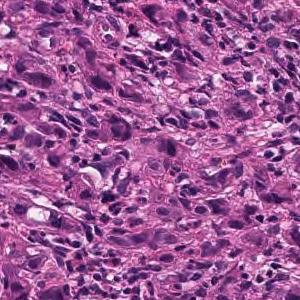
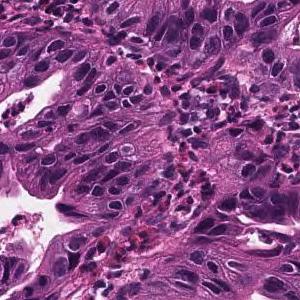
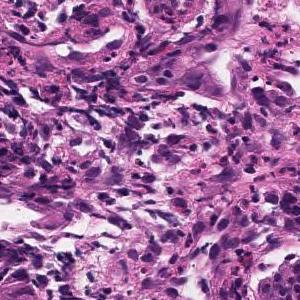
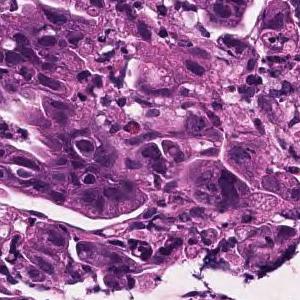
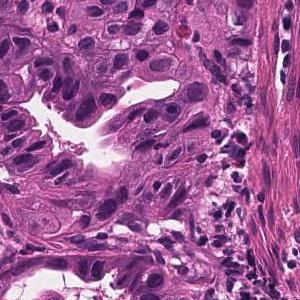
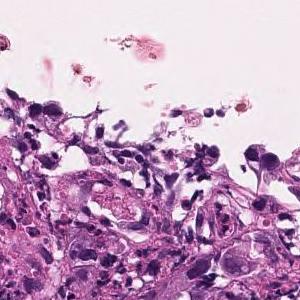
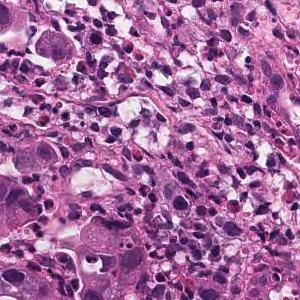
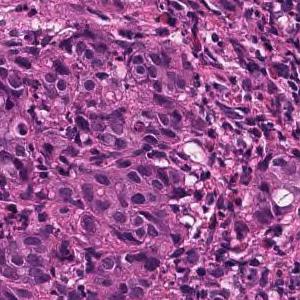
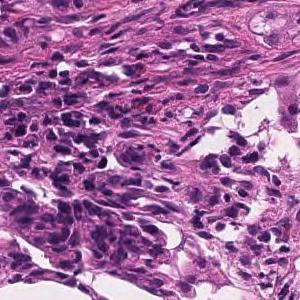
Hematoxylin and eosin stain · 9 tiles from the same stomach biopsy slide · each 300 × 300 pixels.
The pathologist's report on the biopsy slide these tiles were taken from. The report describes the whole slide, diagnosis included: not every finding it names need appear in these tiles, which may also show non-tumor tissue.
Tumor tissue consisting of medium-sized, cord-like or irregular glandular infiltration is observed in the superficial epithelium. Poorly differentiated adenocarcinoma, non-solid type or moderately differentiated tubular adenocarcinoma
The term "non-solid type" comes from the Japanese Classification of Gastric Carcinoma.
